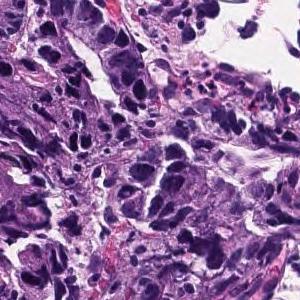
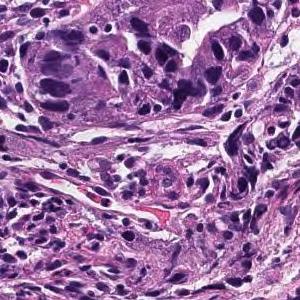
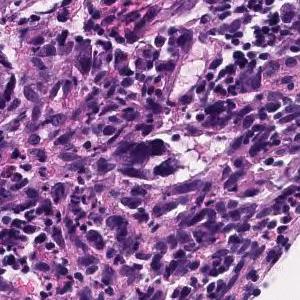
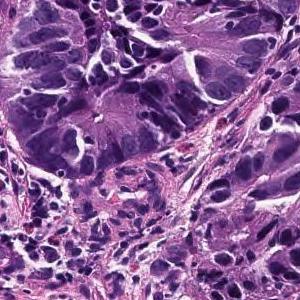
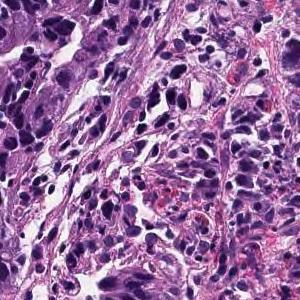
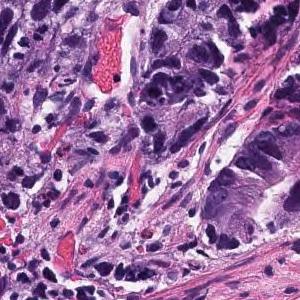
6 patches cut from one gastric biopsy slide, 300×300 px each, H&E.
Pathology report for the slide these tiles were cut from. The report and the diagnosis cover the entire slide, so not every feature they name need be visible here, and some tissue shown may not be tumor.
In the superficial epithelium, tumor tissue that invades by forming medium-sized to small, irregular ducts is observed. Tumor cells are columnar or cuboidal in shape. Moderately differentiated adenocarcinoma.
Subtype: Moderately differentiated tubular adenocarcinoma.
